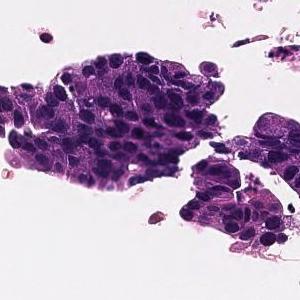
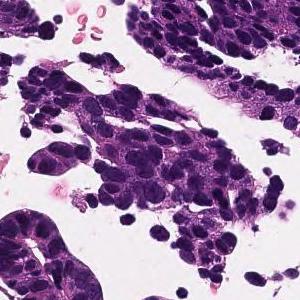
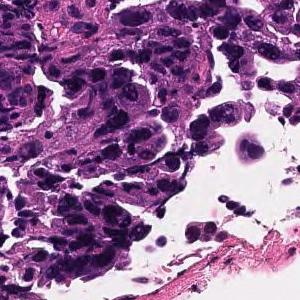
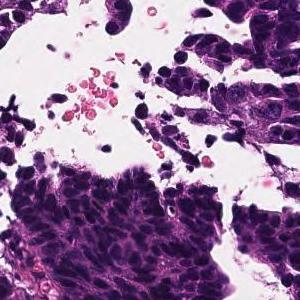
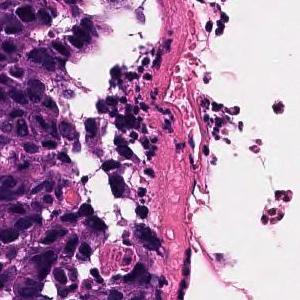
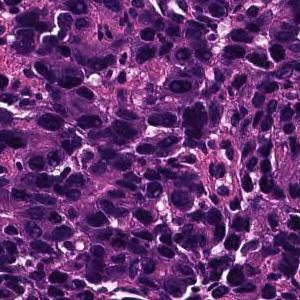
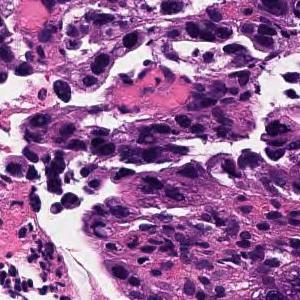
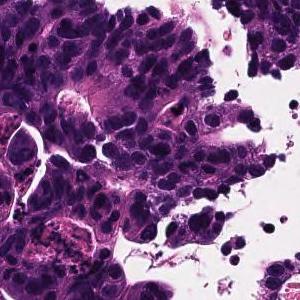
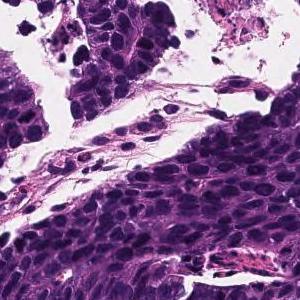
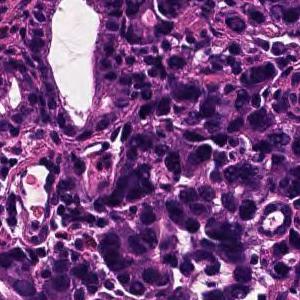
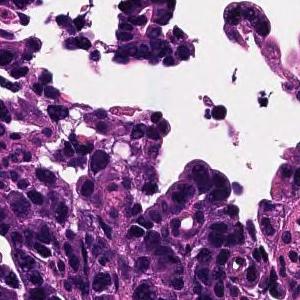
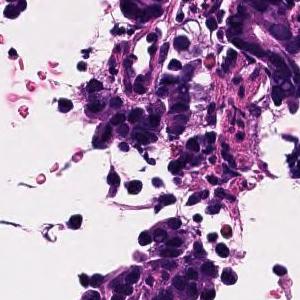
H&E stain; ×20; 12 patches cut from one gastric biopsy slide; 300×300 px each.
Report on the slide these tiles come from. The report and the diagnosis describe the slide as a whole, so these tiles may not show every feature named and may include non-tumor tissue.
In the superficial epithelium, tumor tissue that invades by forming medium-sized to small, irregular ducts is observed. moderately differentiated tubular adenocarcinoma.
